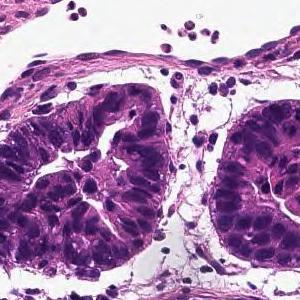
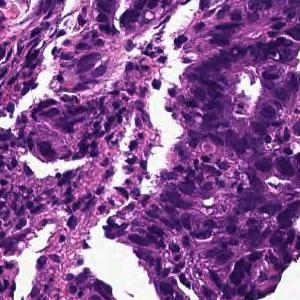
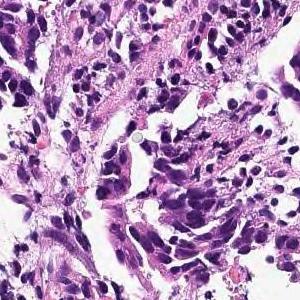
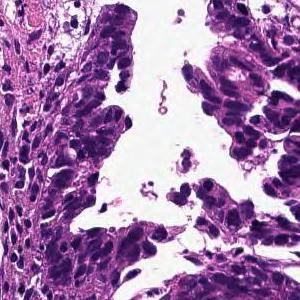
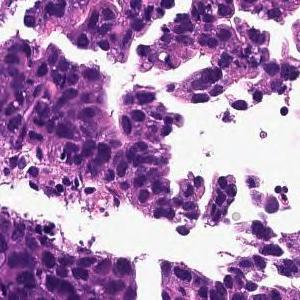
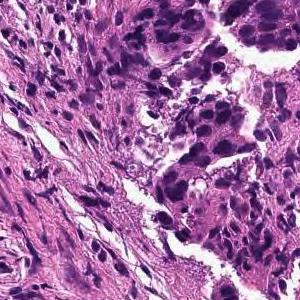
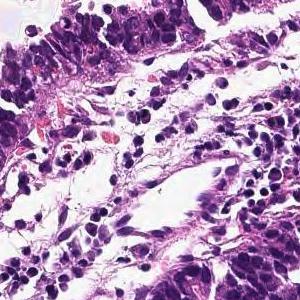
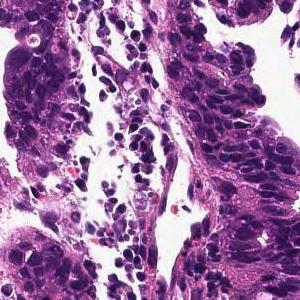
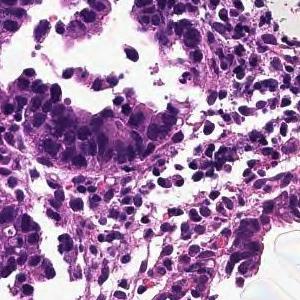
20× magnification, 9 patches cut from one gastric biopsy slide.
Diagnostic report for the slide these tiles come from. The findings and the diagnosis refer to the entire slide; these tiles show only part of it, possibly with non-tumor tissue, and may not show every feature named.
In the superficial epithelium, tumor tissue that invades by forming medium-sized to small, irregular ducts is observed. moderately differentiated tubular adenocarcinoma.
